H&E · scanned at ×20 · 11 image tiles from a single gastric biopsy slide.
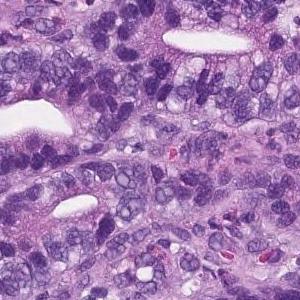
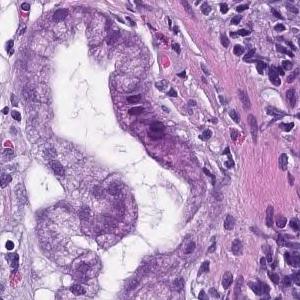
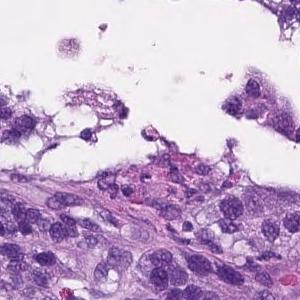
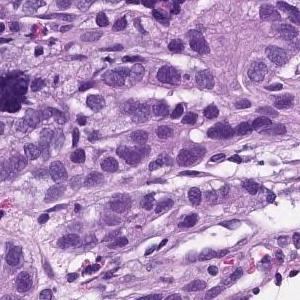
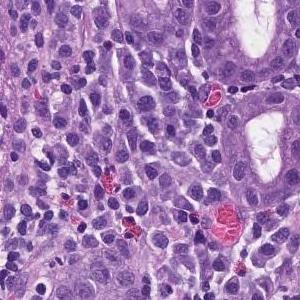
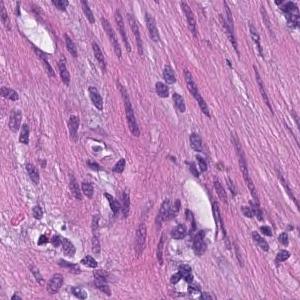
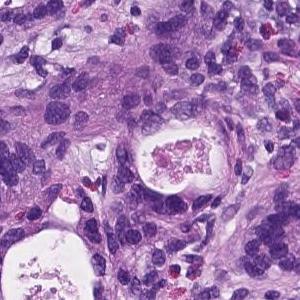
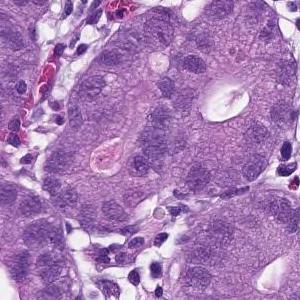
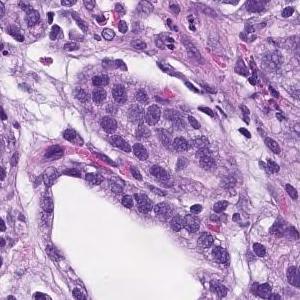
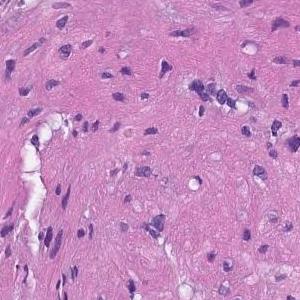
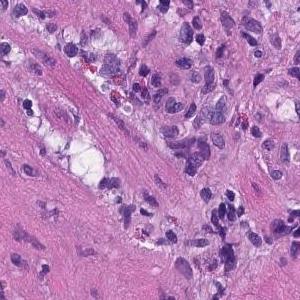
Pathology report for the biopsy slide these tiles were cut from. The findings and the diagnosis refer to the entire slide; these tiles show only part of it, possibly with non-tumor tissue, and may not show every feature named.
From the superficial epithelium to the muscularis mucosae, tumor tissue consisting of medium-sized and irregular glandular ducts infiltrating is observed. Well differentiated tubular adenocarcinoma
